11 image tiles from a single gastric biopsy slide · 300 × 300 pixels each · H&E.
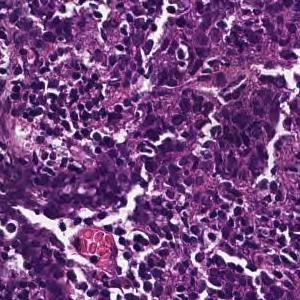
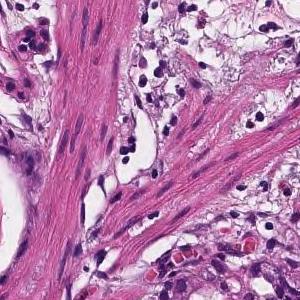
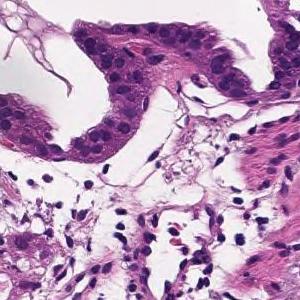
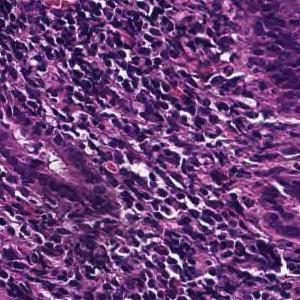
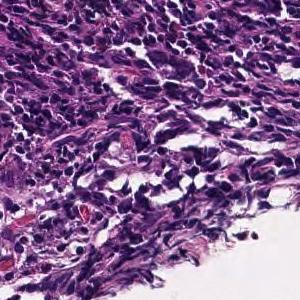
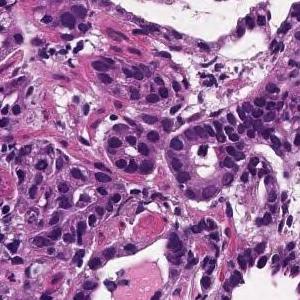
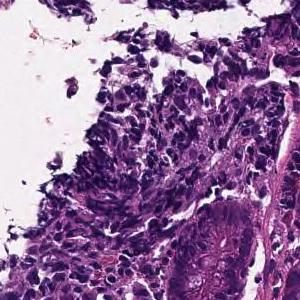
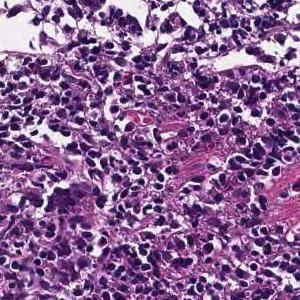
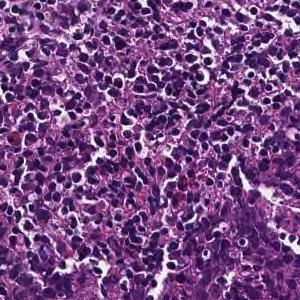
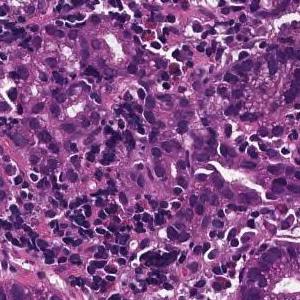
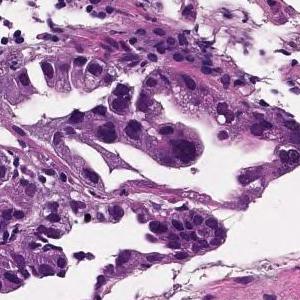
Diagnostic report for the slide these tiles come from. The report describes the whole slide, diagnosis included: not every finding it names need appear in these tiles, which may also show non-tumor tissue.
Tumor tissue consisting of medium-sized, cord-like or irregular glandular infiltration is observed in the superficial epithelium. Poorly differentiated adenocarcinoma, non-solid type or moderately differentiated tubular adenocarcinoma
Subtype: Moderately to poorly differentiated adenocarcinoma.
The term "non-solid type" comes from the Japanese Classification of Gastric Carcinoma.
